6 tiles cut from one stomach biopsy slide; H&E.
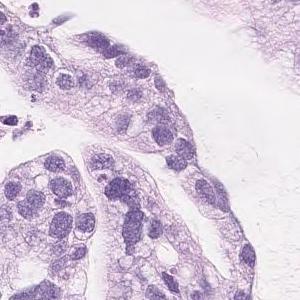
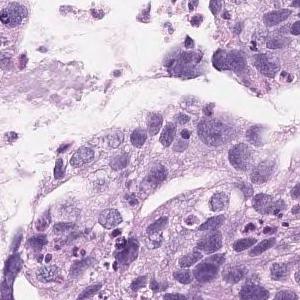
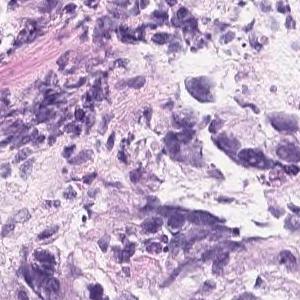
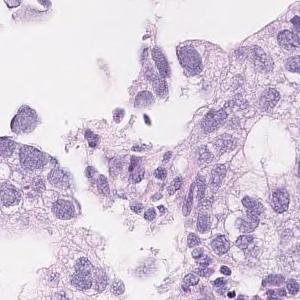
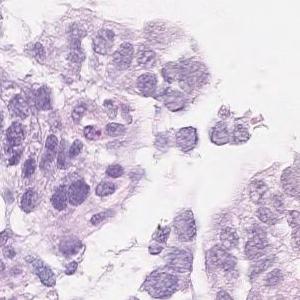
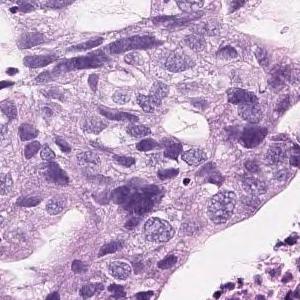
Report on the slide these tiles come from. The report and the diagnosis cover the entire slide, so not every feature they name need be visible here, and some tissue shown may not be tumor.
On the superficial epithelium, tumor tissue consisting of large, irregular glandular ducts partially fused and infiltrated is observed. Well to moderately differentiated tubular adenocarcinoma (well differentiated tubular adenocarcinoma, moderately differentiated tubular adenocarcinoma)
Histological subtype: Well to moderately differentiated tubular adenocarcinoma.
